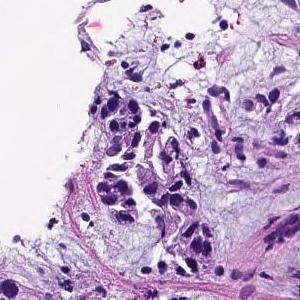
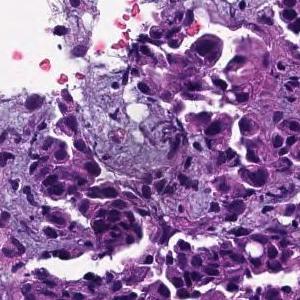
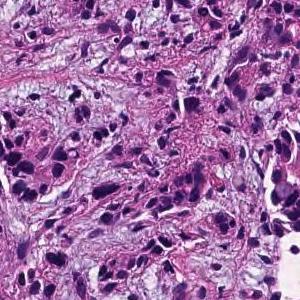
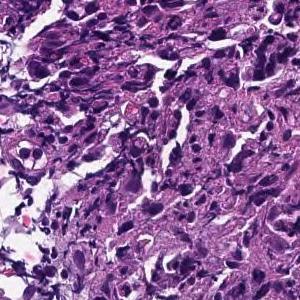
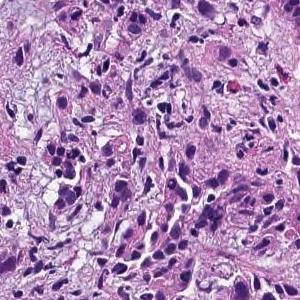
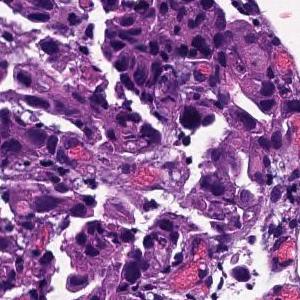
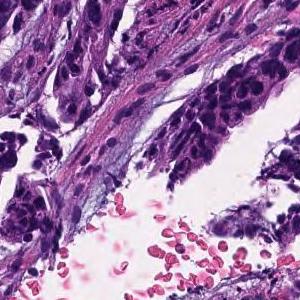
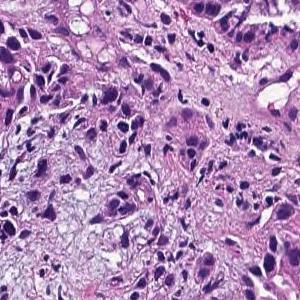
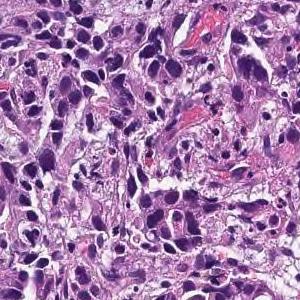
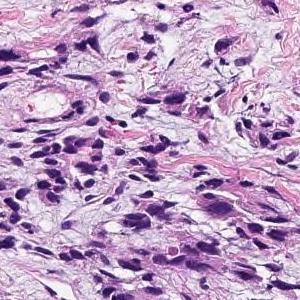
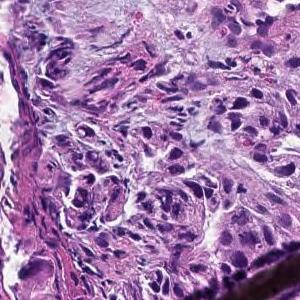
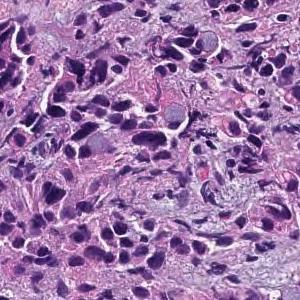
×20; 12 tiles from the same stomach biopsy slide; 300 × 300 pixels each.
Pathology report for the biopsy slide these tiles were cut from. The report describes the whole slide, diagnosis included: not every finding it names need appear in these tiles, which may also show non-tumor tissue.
Tumor tissue consisting of cord-like or small, irregular glandular ducts fused and infiltrated is observed in the superficial epithelium. Poorly differentiated adenocarcinoma, non-solid type
"Non-solid type" is a category of the Japanese Classification of Gastric Carcinoma.
